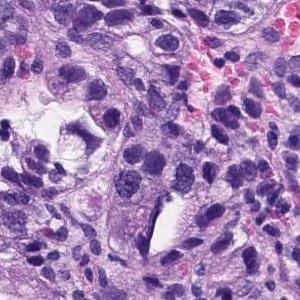
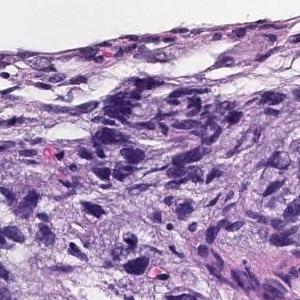
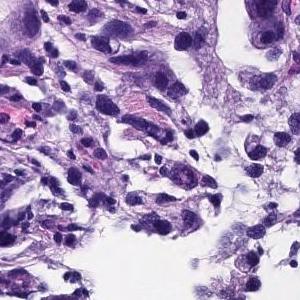
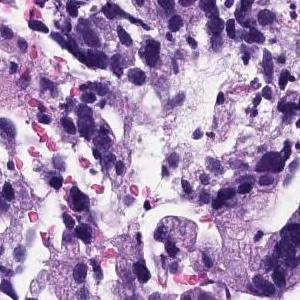
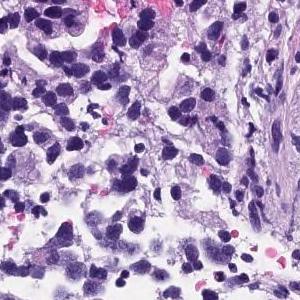
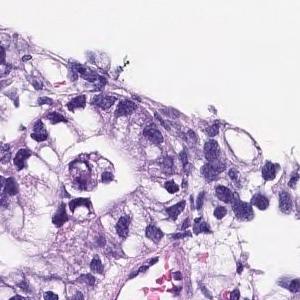
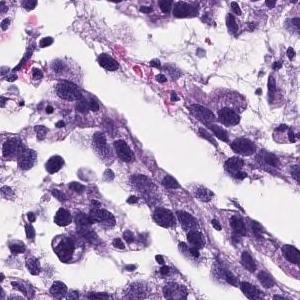
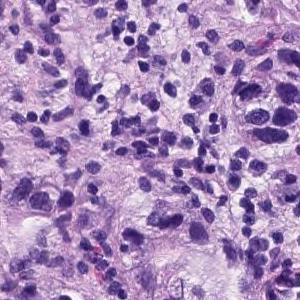
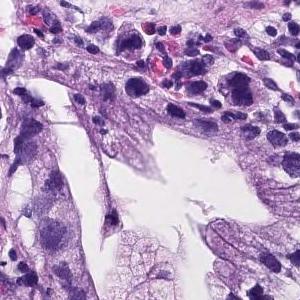
9 image tiles from a single gastric biopsy slide; 300×300 px each; hematoxylin and eosin stain.
Diagnostic report for the slide these tiles come from. The report and the diagnosis cover the entire slide, so not every feature they name need be visible here, and some tissue shown may not be tumor.
Medium to small, irregular glandular ducts are formed in the superficial epithelium, and in some cases, the glandular ducts are fused to show solid alveolar lesions and infiltrating tumor tissue is observed. Poorly differentiated adenocarcinoma, Moderately differentiated adenocarcinoma.
Labeled in the dataset as moderately differentiated tubular adenocarcinoma.
